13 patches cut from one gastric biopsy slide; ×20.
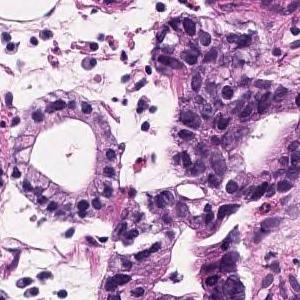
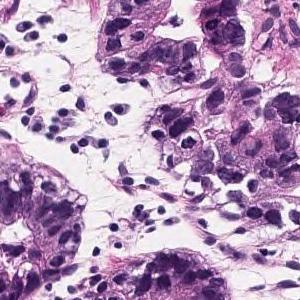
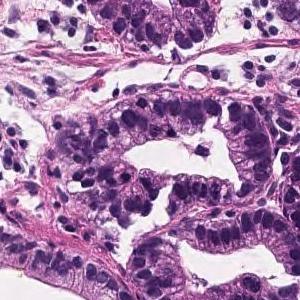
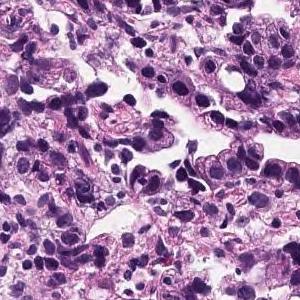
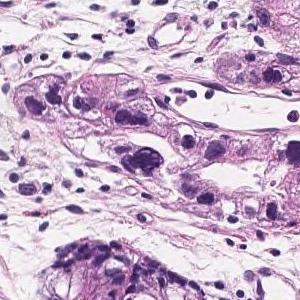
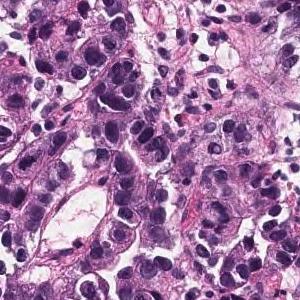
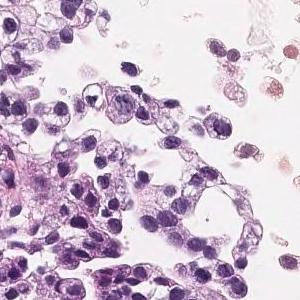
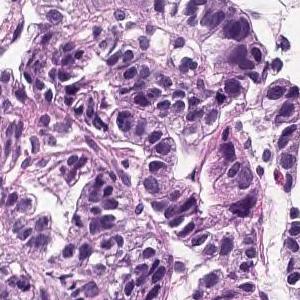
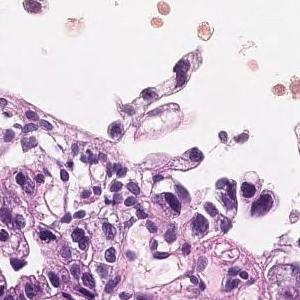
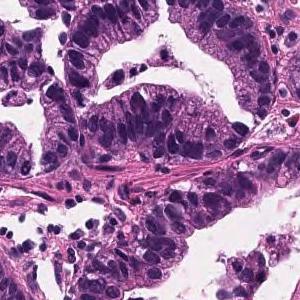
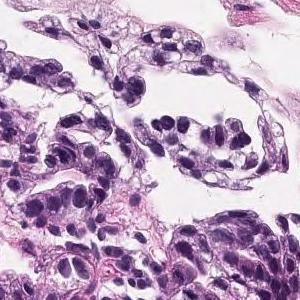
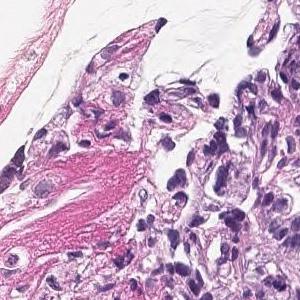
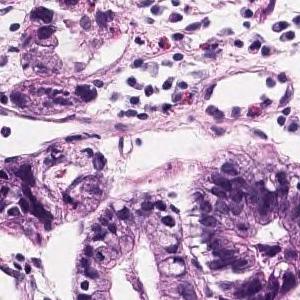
Pathology report for the biopsy slide these tiles were cut from. What the report and the diagnosis say applies to the whole slide; these tiles may miss some of the features named and may include tissue that is not tumor.
Atypical epithelium showing nuclear enlargement builds irregular ducts and grows densely. moderately differentiated tubular adenocarcinoma
